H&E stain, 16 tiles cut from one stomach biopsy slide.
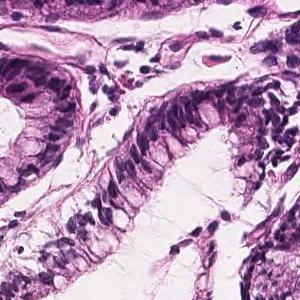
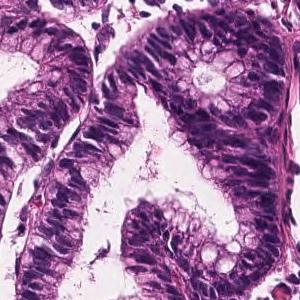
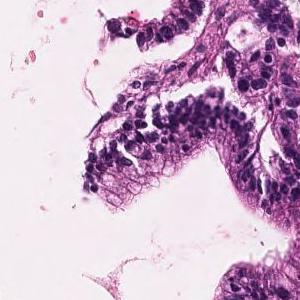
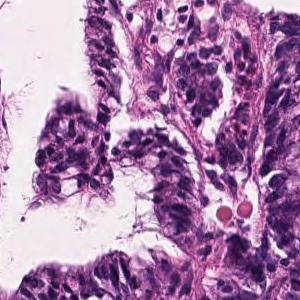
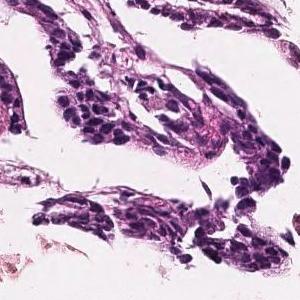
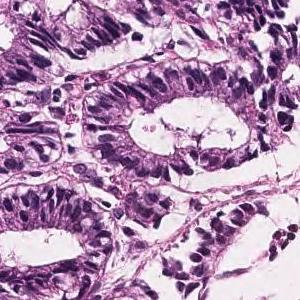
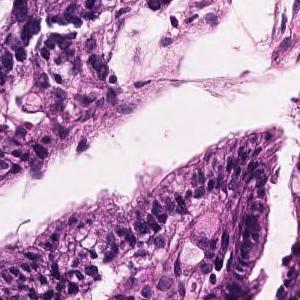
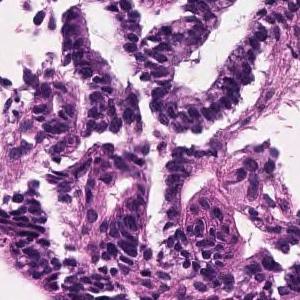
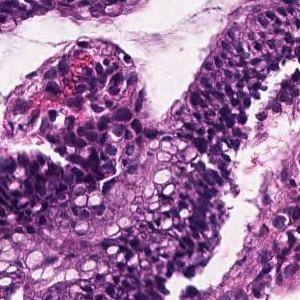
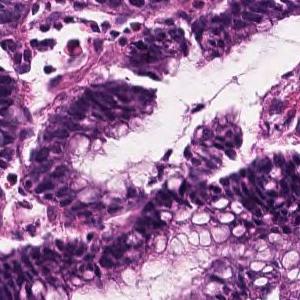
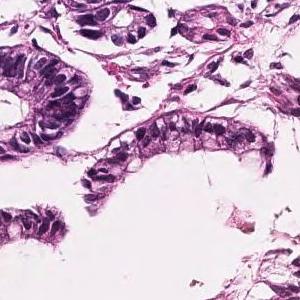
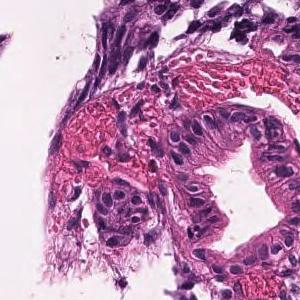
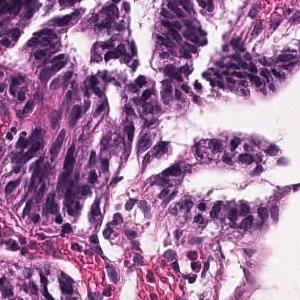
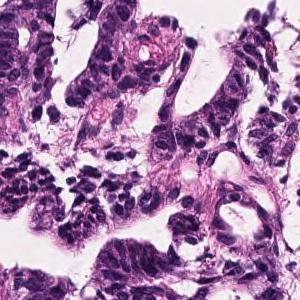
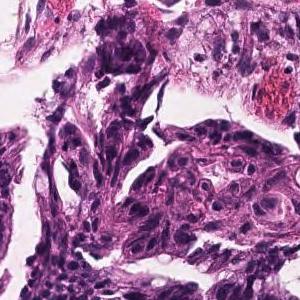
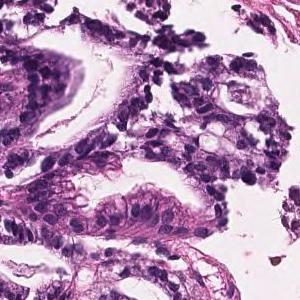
Report on the slide these tiles come from. The report and the diagnosis describe the slide as a whole, so these tiles may not show every feature named and may include non-tumor tissue.
Cubic to columnar atypical epithelial cells proliferating showing papillary to papillary ductal structures is observed. Papillary adenocarcinoma.
